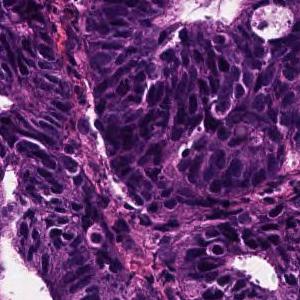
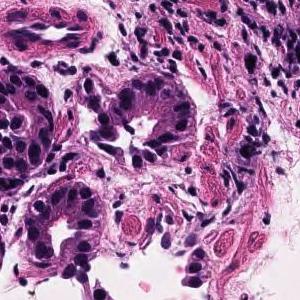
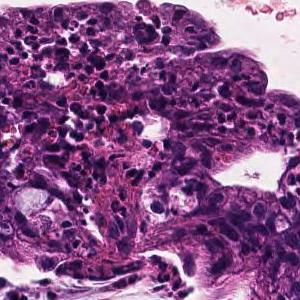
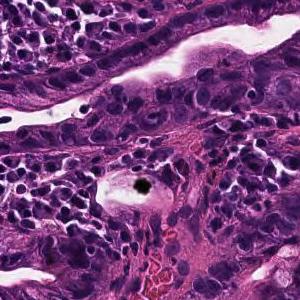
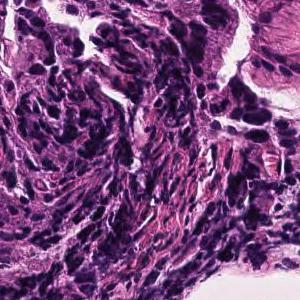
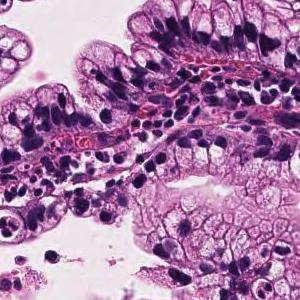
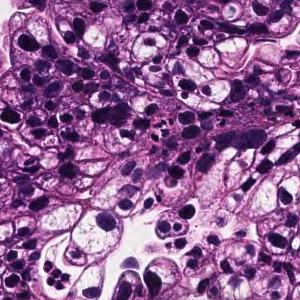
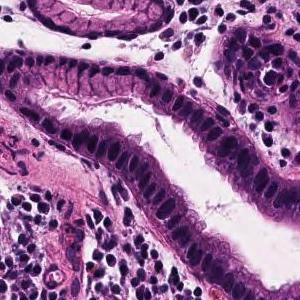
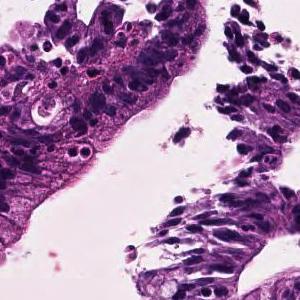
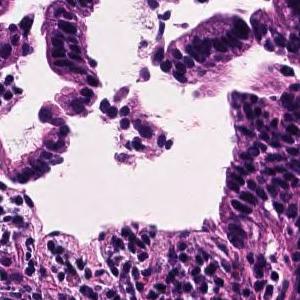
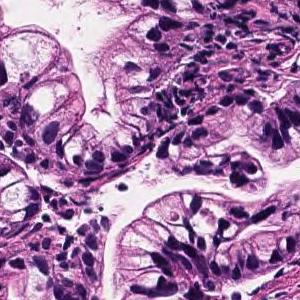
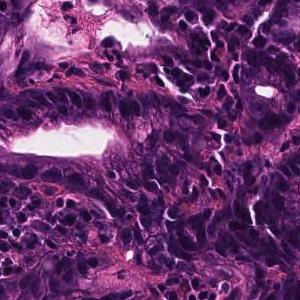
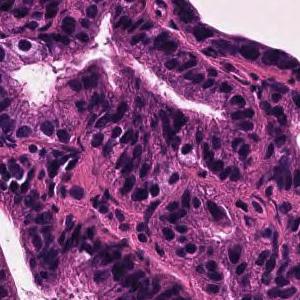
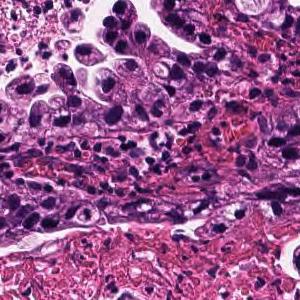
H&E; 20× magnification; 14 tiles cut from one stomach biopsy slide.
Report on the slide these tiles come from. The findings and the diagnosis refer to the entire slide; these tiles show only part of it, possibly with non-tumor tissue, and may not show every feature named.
Tumor cells are large, highly columnar, large club-shaped nuclei, and are associated with chromatin aggregation. Papillary adenocarcinoma.
